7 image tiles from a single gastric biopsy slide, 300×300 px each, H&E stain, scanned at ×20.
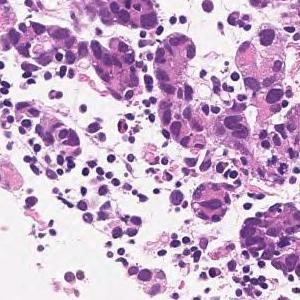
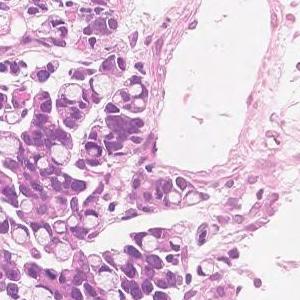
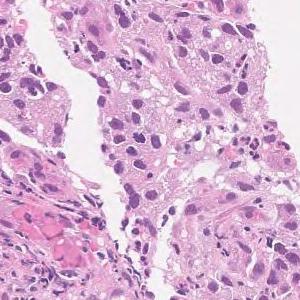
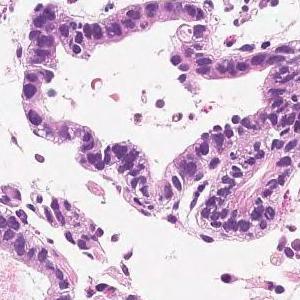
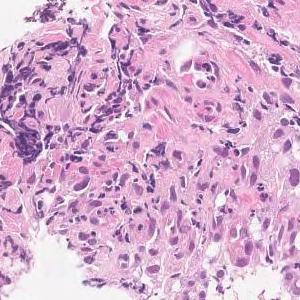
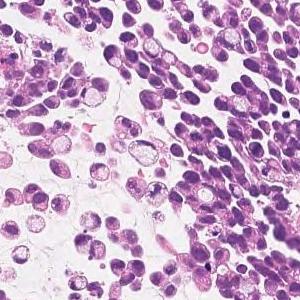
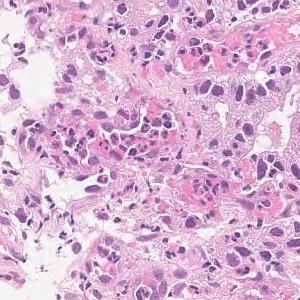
The pathologist's report on the biopsy slide these tiles were taken from. The findings and the diagnosis refer to the entire slide; these tiles show only part of it, possibly with non-tumor tissue, and may not show every feature named.
Medium to small, irregular glandular ducts are formed in the superficial epithelium, and in some cases, the glandular ducts are fused to show solid alveolar lesions and infiltrating tumor tissue is observed. Moderately to poorly differentiated adenocarcinoma.
